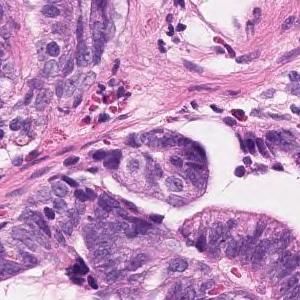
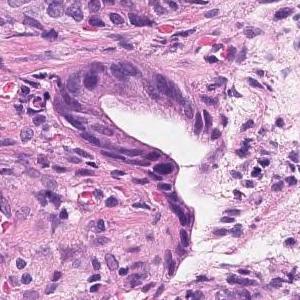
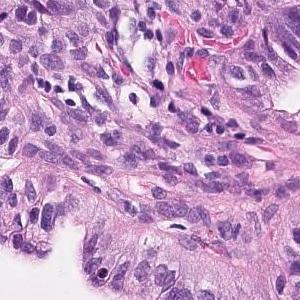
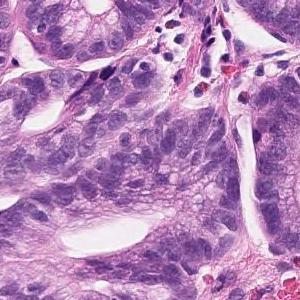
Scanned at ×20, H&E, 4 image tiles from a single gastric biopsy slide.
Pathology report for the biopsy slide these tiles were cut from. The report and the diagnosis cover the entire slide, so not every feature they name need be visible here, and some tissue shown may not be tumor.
Tumor cells are large, highly columnar, large club-shaped nuclei, and are associated with chromatin aggregation. Papillary adenocarcinoma.
